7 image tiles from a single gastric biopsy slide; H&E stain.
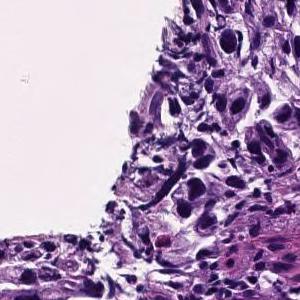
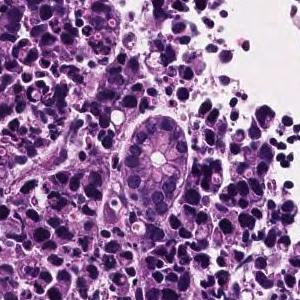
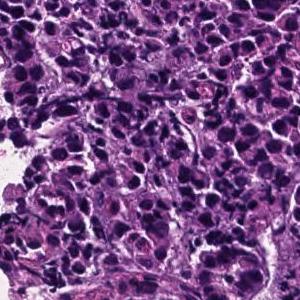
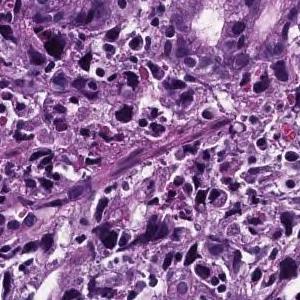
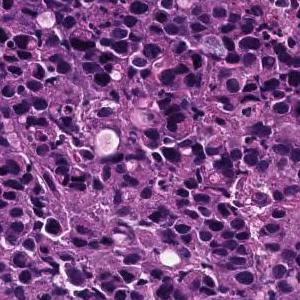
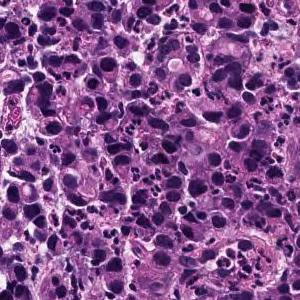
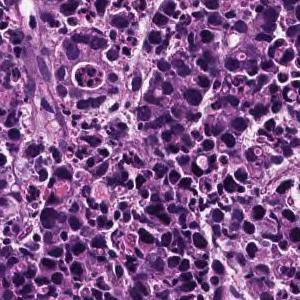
Pathology report for the slide these tiles were cut from. Both the report and the diagnosis are for the whole slide: these tiles need not show every feature named, and some of the tissue shown may not be tumor.
The superficial epithelium shows a large sheet-like shape, and some tumor tissue infiltrates with small irregular ducts. Poorly differentiated adenocarcinoma, solid-type
Subtype: Poorly differentiated adenocarcinoma, solid type. This name comes from the Japanese Classification of Gastric Carcinoma; the WHO 2019 classification calls it tubular adenocarcinoma, poorly differentiated.
